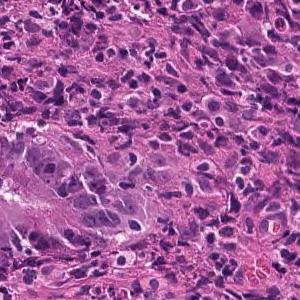
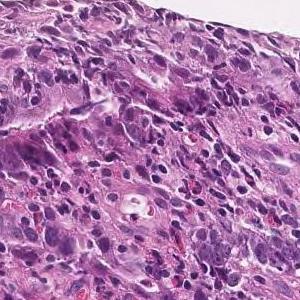
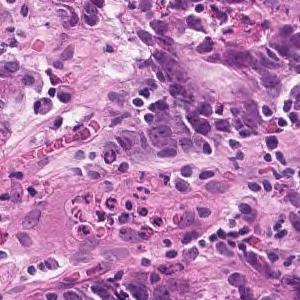
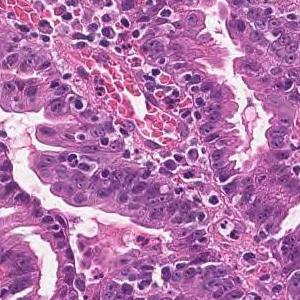
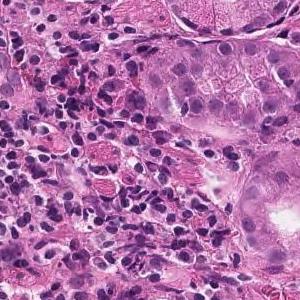
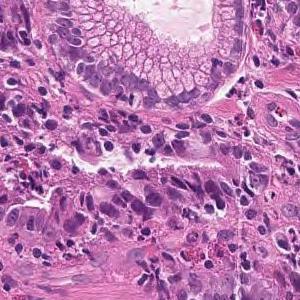
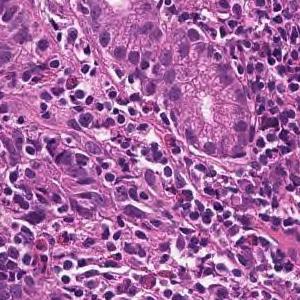
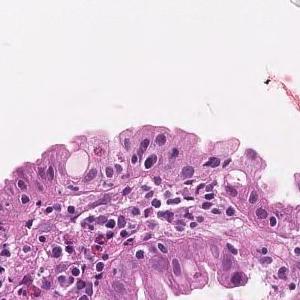
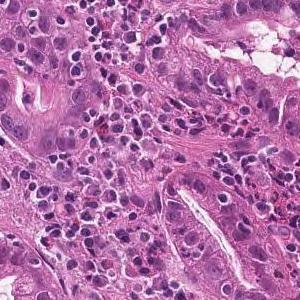
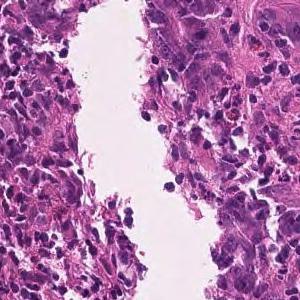
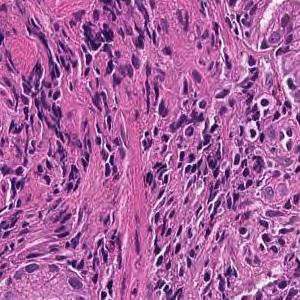
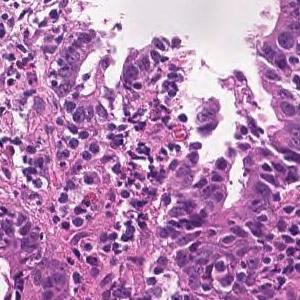
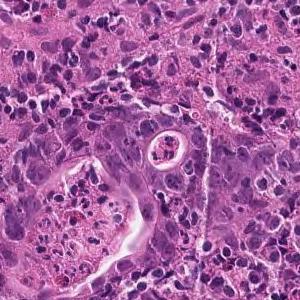
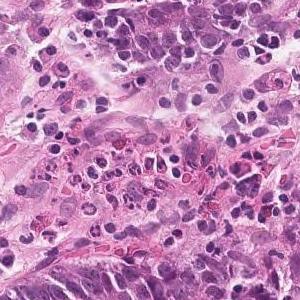
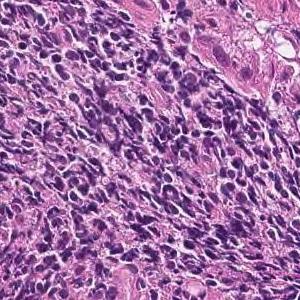
Scanned at ×20; 15 tiles from the same stomach biopsy slide; 300 × 300 pixels each.
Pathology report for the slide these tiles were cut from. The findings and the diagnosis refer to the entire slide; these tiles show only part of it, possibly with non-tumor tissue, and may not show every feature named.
Tumor tissue consisting of medium-sized, cord-like or irregular glandular infiltration is observed in the superficial epithelium. Poorly differentiated adenocarcinoma, non-solid type or moderately differentiated tubular adenocarcinoma
Labeled in the dataset as poorly differentiated adenocarcinoma, non-solid type.
The non-solid type named here is a Japanese Classification of Gastric Carcinoma category.
